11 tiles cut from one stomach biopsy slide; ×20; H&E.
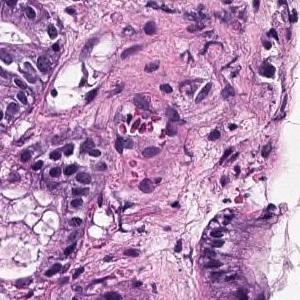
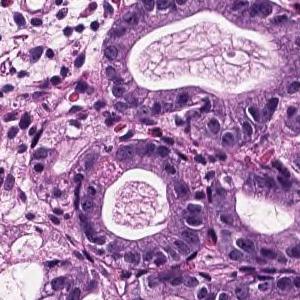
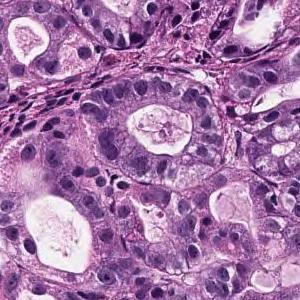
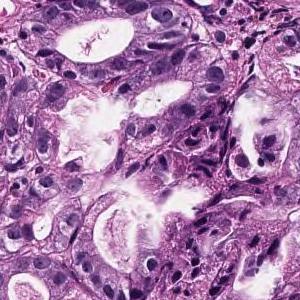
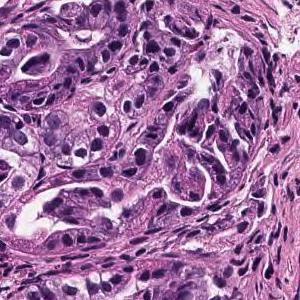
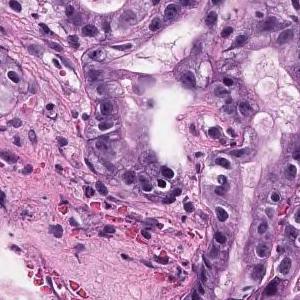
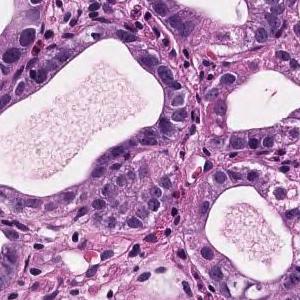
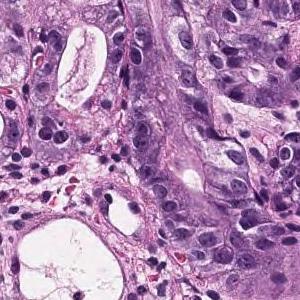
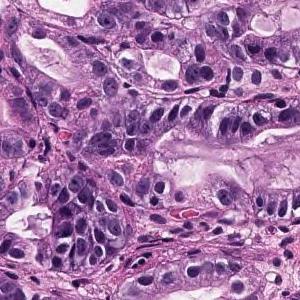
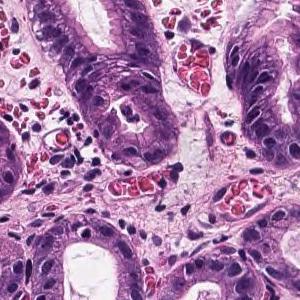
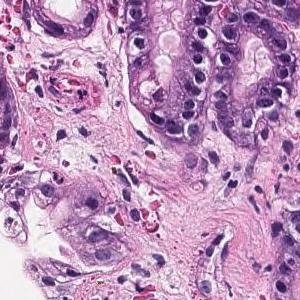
Report on the slide these tiles come from. The report describes the whole slide, diagnosis included: not every finding it names need appear in these tiles, which may also show non-tumor tissue.
On the superficial epithelium, tumor tissue that infiltrates by forming medium-sized round or small irregular ducts is observed. Papillary adenocarcinoma
